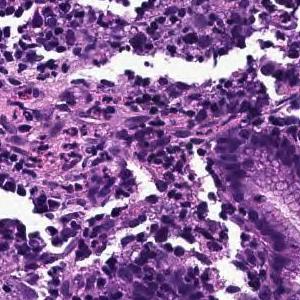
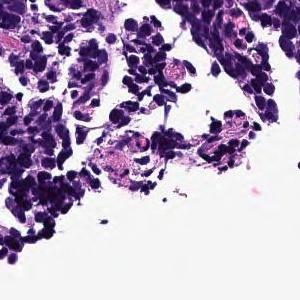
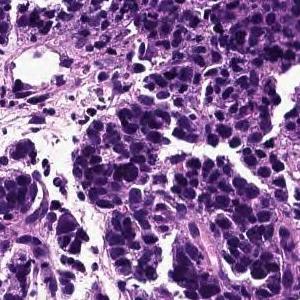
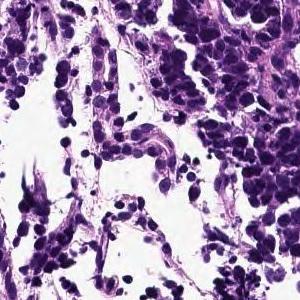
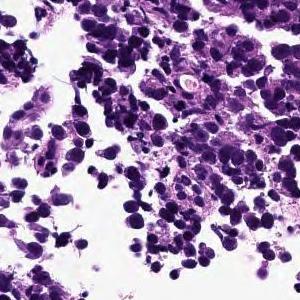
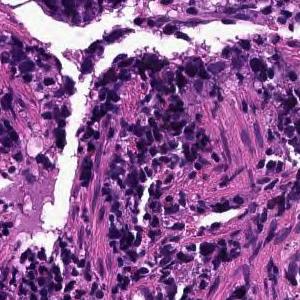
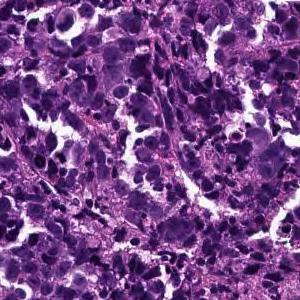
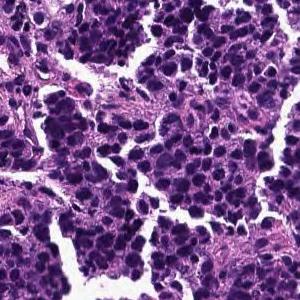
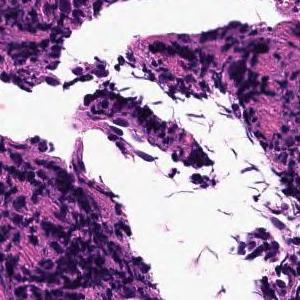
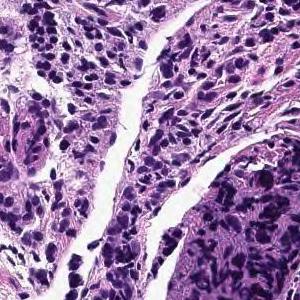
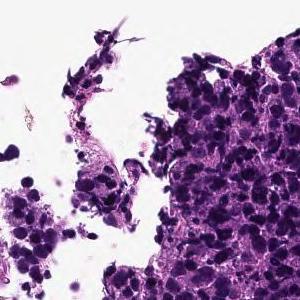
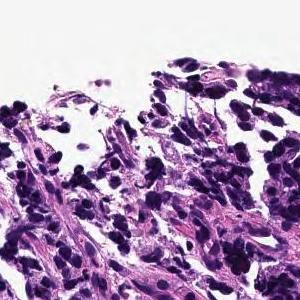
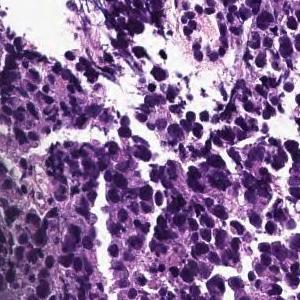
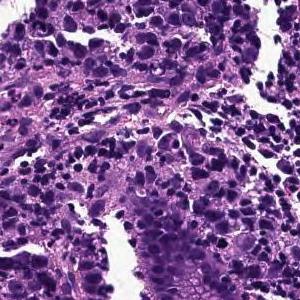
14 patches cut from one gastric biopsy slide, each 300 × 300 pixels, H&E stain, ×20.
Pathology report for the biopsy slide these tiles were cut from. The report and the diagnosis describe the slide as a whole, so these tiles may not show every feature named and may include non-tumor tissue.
The superficial epithelium shows large alveolar or sheet-like forms, and some tumor tissue infiltrates with small irregular ducts. Poorly differentiated adenocarcinoma, solid-type
Tumor subtype: poorly differentiated adenocarcinoma, solid type, a category of the Japanese Classification of Gastric Carcinoma; in the WHO 2019 classification it is tubular adenocarcinoma, poorly differentiated.
